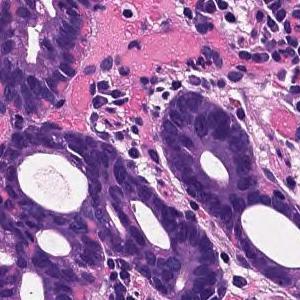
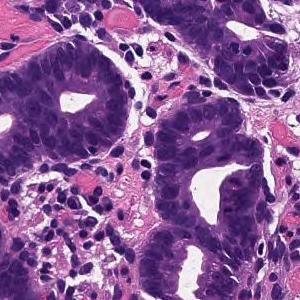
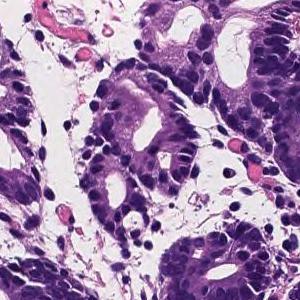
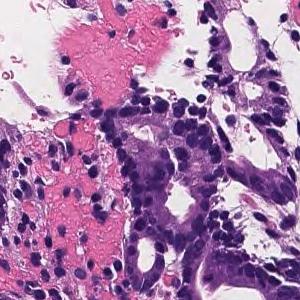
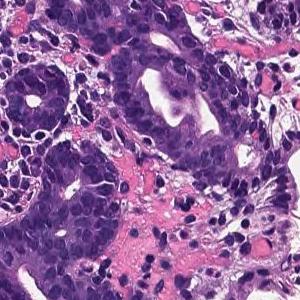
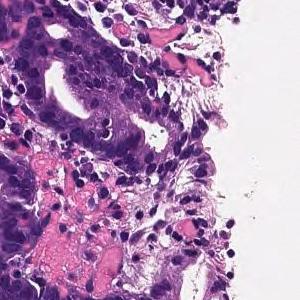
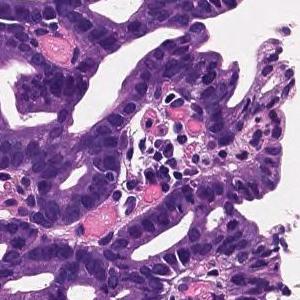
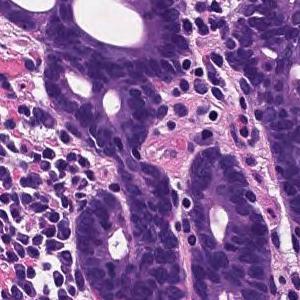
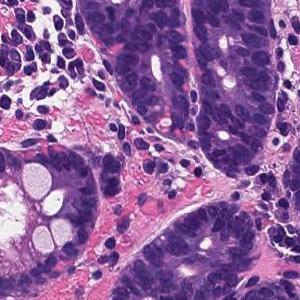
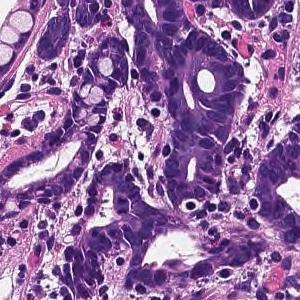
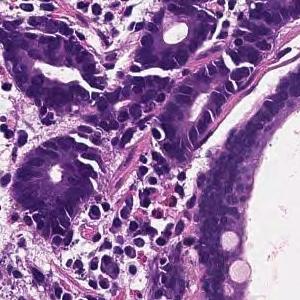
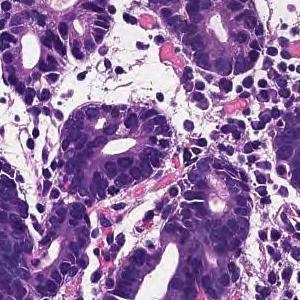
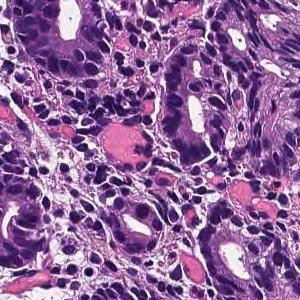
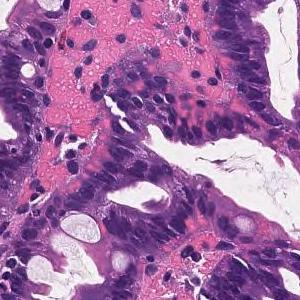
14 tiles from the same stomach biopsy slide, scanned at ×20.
The pathologist's report on the biopsy slide these tiles were taken from. The report describes the whole slide, diagnosis included: not every finding it names need appear in these tiles, which may also show non-tumor tissue.
On the superficial epithelium, tumor tissue is found in which medium-sized irregular gland ducts fuse with each other and infiltrate. moderately differentiated tubular adenocarcinoma
